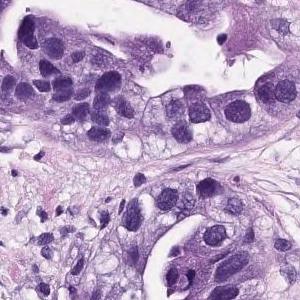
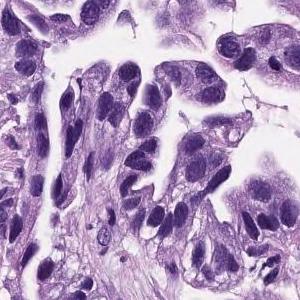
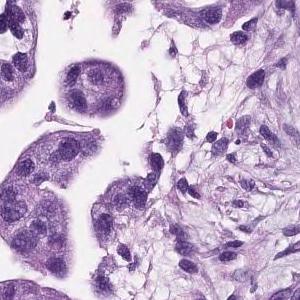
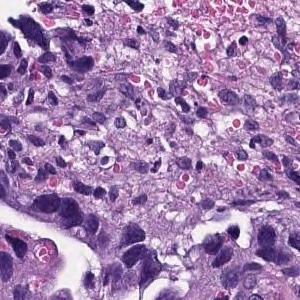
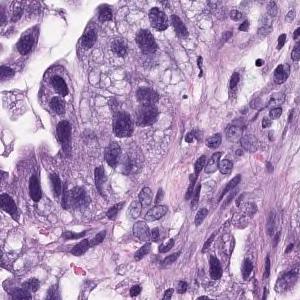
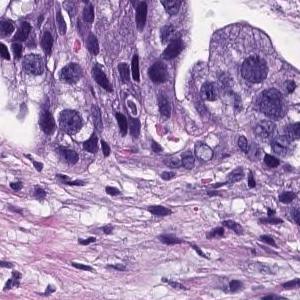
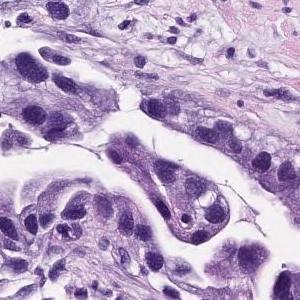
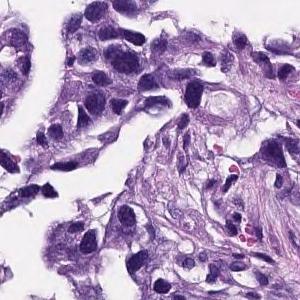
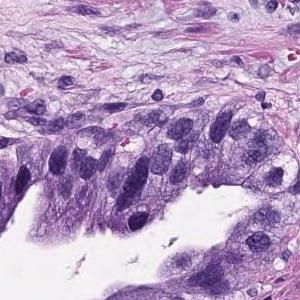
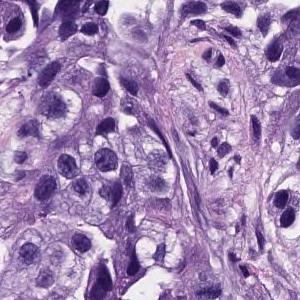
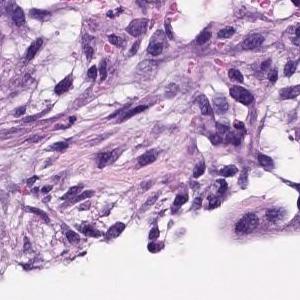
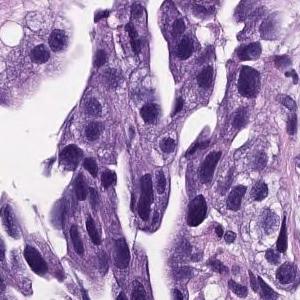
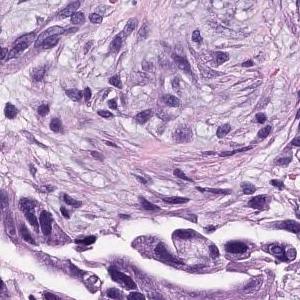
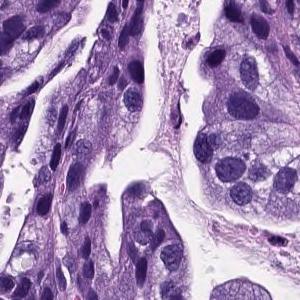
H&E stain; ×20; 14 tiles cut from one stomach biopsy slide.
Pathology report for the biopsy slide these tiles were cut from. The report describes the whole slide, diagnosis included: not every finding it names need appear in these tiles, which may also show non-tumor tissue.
gastric mucosal tissue with atypical glandular proliferation arranged in tubules and acini. The tumor cells showed hyperchromatic nuclei, high N/C ratio and loss of polarity. Tubular adenocarcinoma of stomach, moderately differentiated.
Histological subtype: Moderately differentiated tubular adenocarcinoma.
